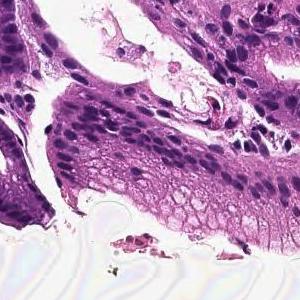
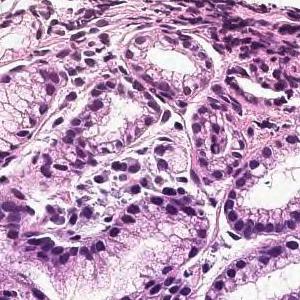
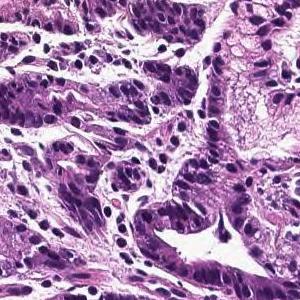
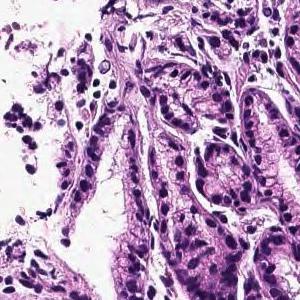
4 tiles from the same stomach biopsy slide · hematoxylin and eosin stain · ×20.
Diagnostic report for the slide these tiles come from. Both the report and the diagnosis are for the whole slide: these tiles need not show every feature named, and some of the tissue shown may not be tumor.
In the superficial epithelium, tumor tissue that invades by forming medium-sized to small, irregular ducts is observed. moderately differentiated tubular adenocarcinoma.
